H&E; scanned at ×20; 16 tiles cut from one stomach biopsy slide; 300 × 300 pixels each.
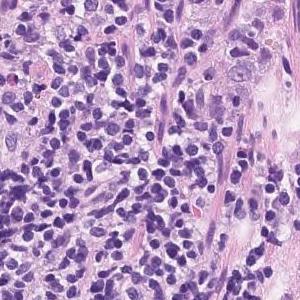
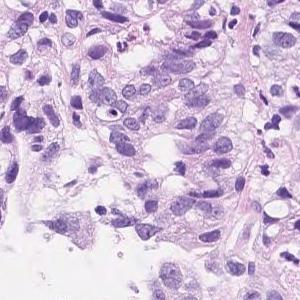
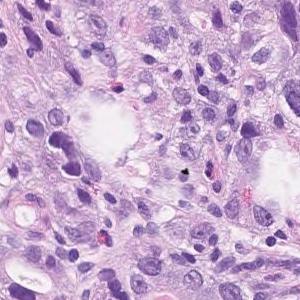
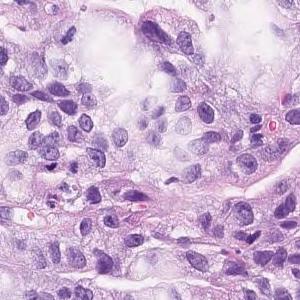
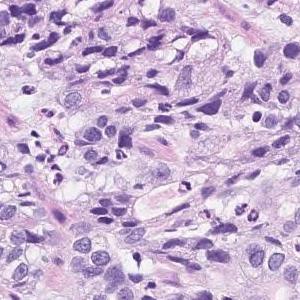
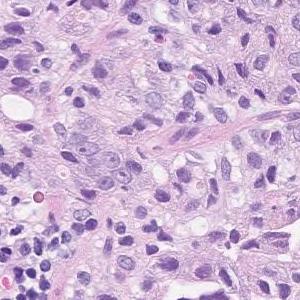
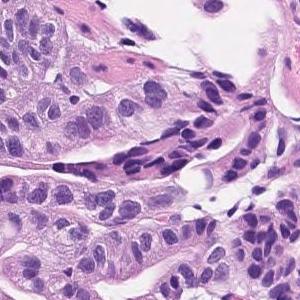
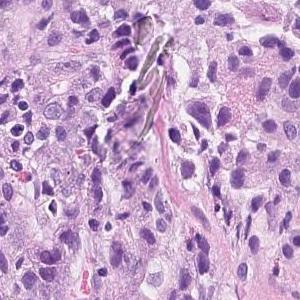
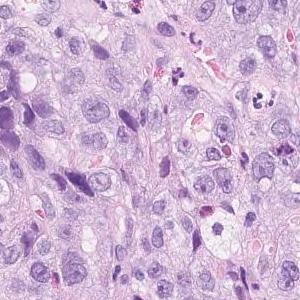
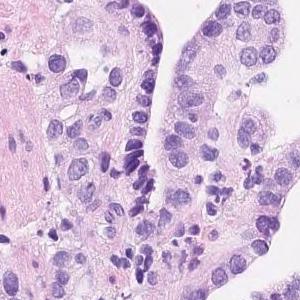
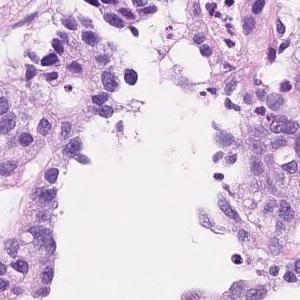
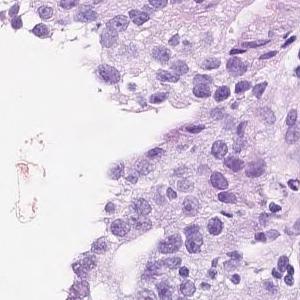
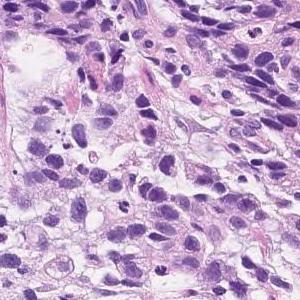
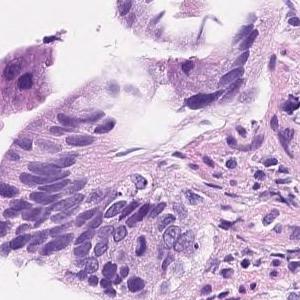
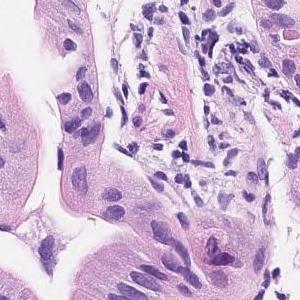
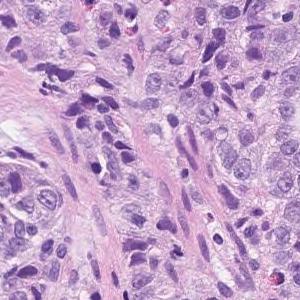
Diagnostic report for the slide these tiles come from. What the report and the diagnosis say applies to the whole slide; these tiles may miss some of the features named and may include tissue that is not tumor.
In the superficial epithelium, tumor tissue that invades by forming medium-sized to small, irregular ducts is observed. Moderately to poorly differentiated adenocarcinoma
